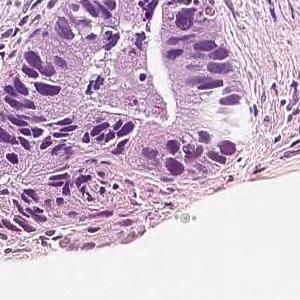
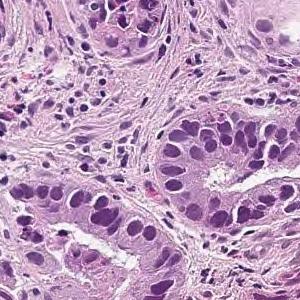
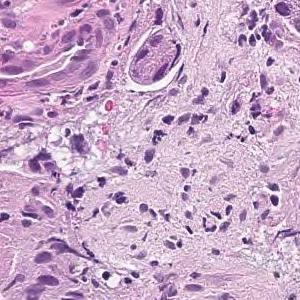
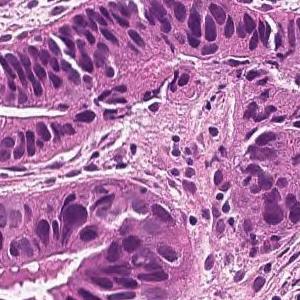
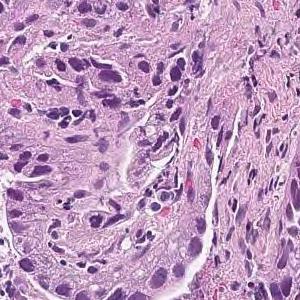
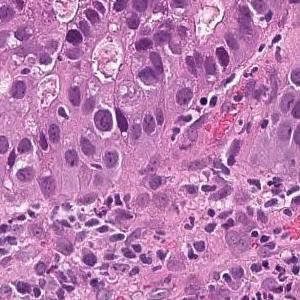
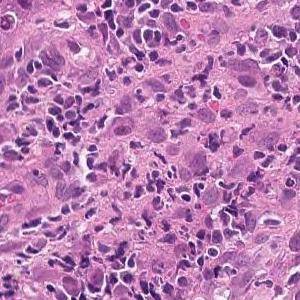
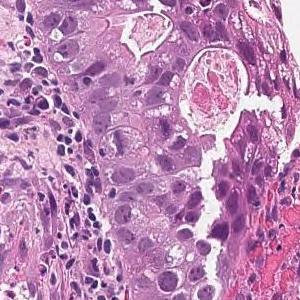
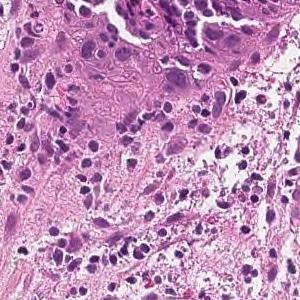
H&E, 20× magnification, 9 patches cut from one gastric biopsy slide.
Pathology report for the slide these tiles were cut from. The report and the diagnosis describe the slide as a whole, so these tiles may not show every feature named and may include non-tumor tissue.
In the superficial epithelium, tumor tissue that invades by forming medium-sized to small, irregular ducts is observed. moderately differentiated tubular adenocarcinoma.
